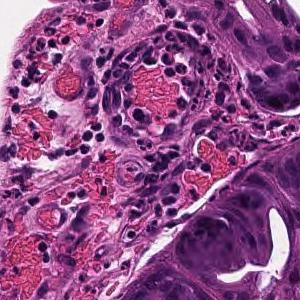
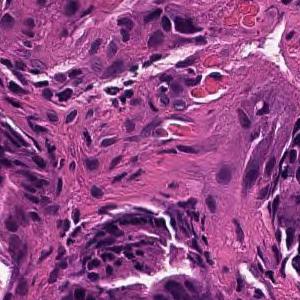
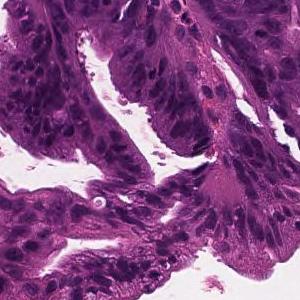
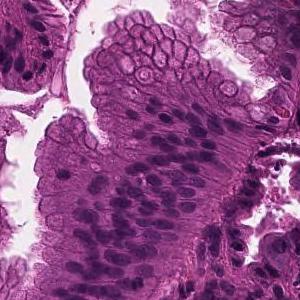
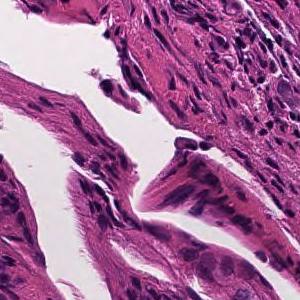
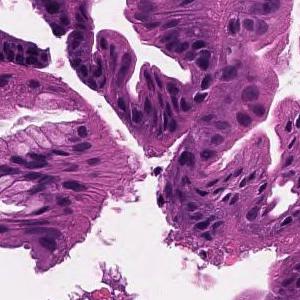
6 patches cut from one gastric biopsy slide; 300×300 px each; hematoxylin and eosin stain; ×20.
Pathology report for the slide these tiles were cut from. What the report and the diagnosis say applies to the whole slide; these tiles may miss some of the features named and may include tissue that is not tumor.
Tumor cells are large, highly columnar, large club-shaped nuclei, and are associated with chromatin aggregation. Papillary adenocarcinoma.
